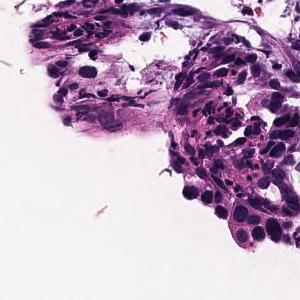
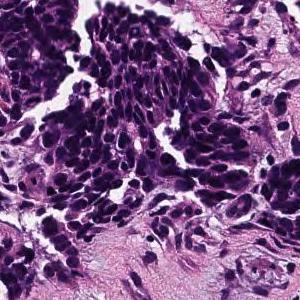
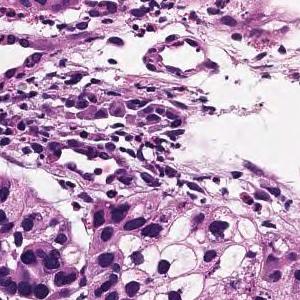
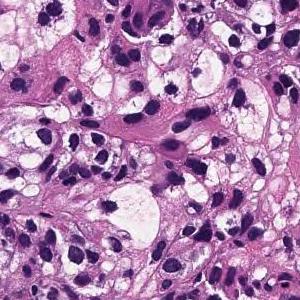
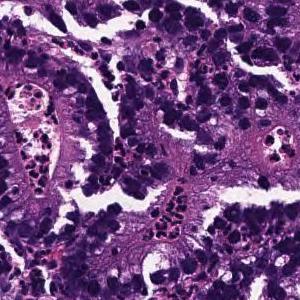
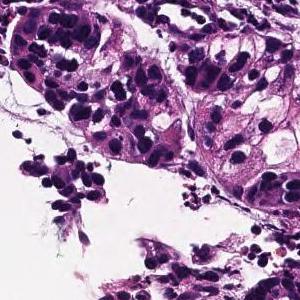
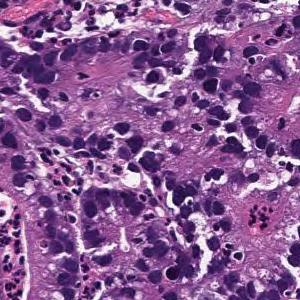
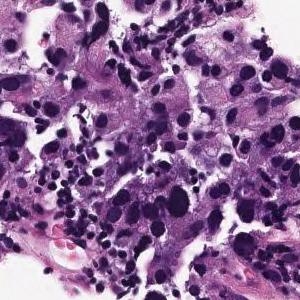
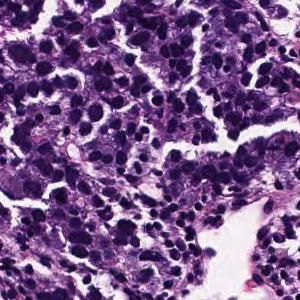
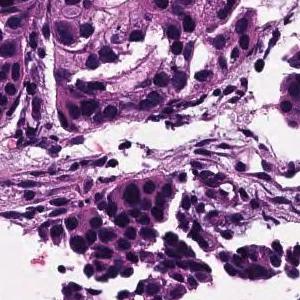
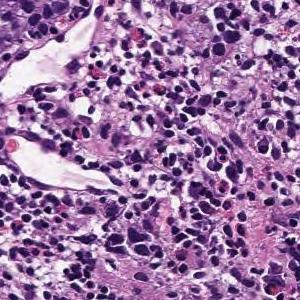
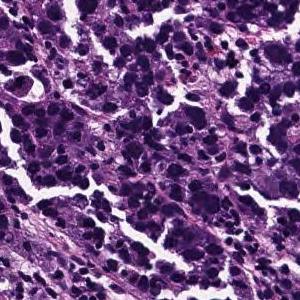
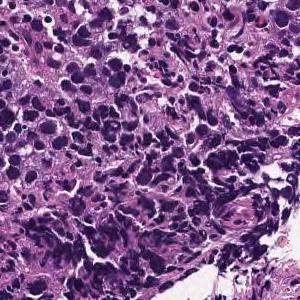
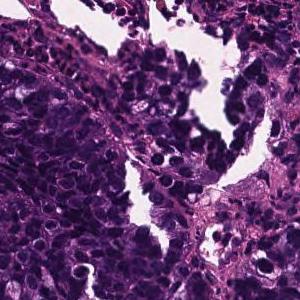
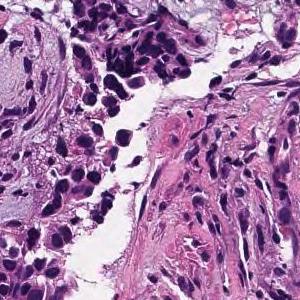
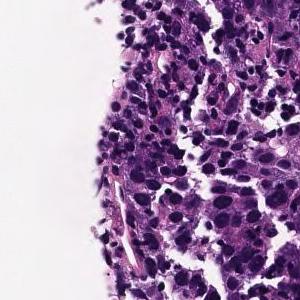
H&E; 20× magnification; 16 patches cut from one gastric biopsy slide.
Pathology report for the slide these tiles were cut from. The report and the diagnosis cover the entire slide, so not every feature they name need be visible here, and some tissue shown may not be tumor.
Medium to small, irregular glandular ducts are formed in the superficial epithelium, and in some cases, the glandular ducts are fused to show solid alveolar lesions and infiltrating tumor tissue is observed. Moderately to poorly differentiated adenocarcinoma.
